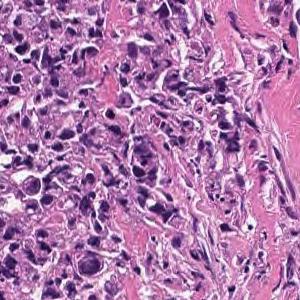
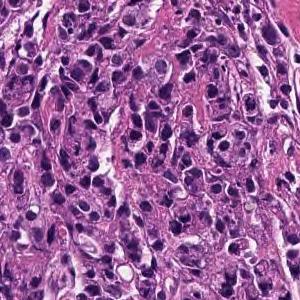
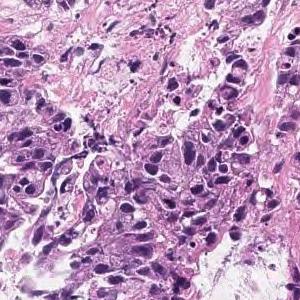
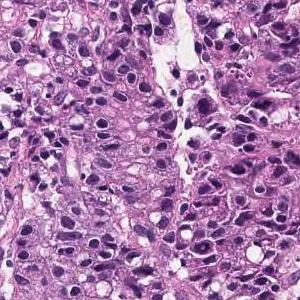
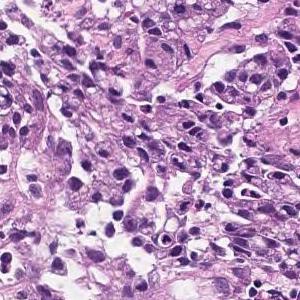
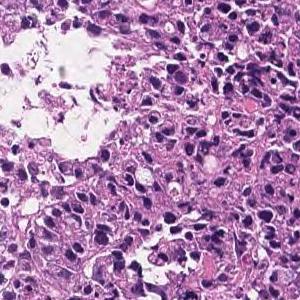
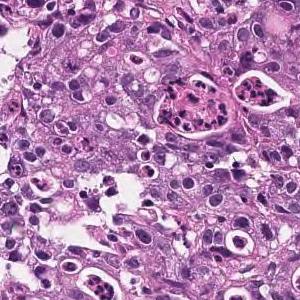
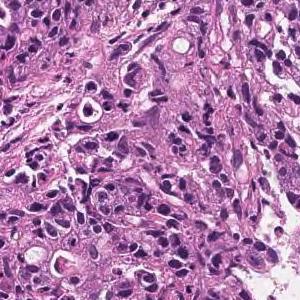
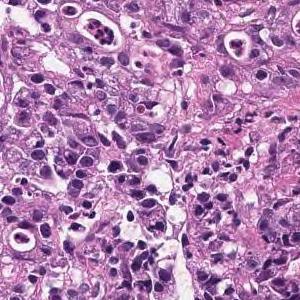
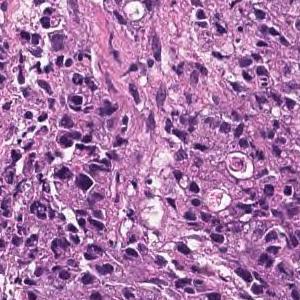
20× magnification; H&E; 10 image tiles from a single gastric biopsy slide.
Pathology report for the slide these tiles were cut from. What the report and the diagnosis say applies to the whole slide; these tiles may miss some of the features named and may include tissue that is not tumor.
Medium to small, irregular glandular ducts are formed in the superficial epithelium, and in some cases, the glandular ducts are fused to show solid alveolar lesions and infiltrating tumor tissue is observed. Moderately to poorly differentiated adenocarcinoma.
